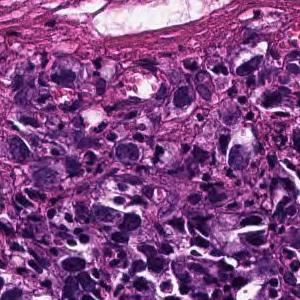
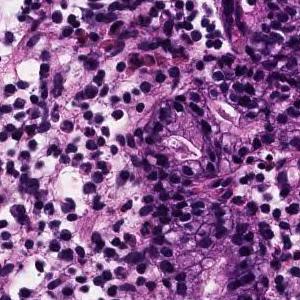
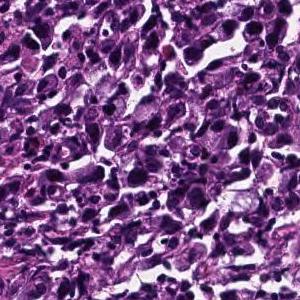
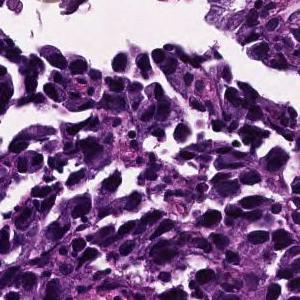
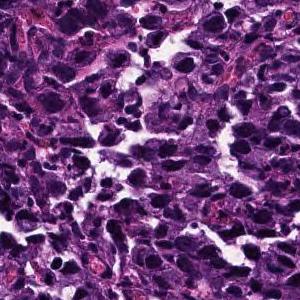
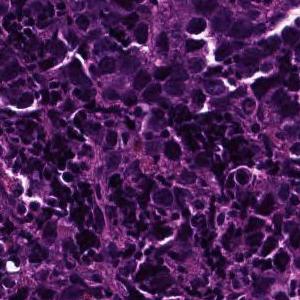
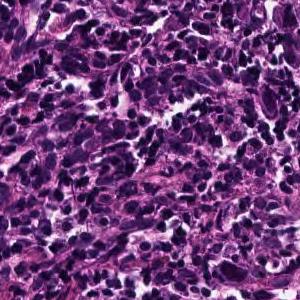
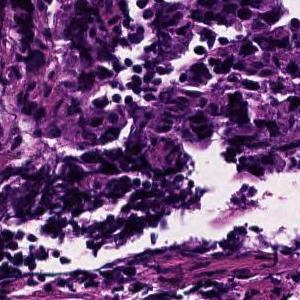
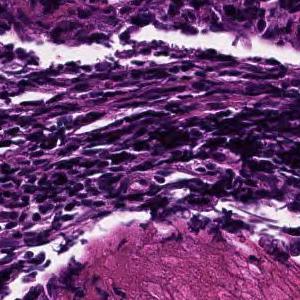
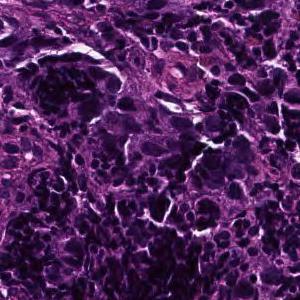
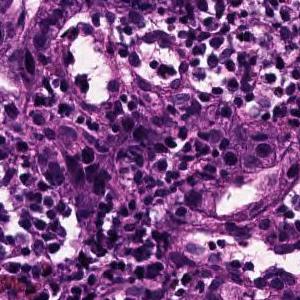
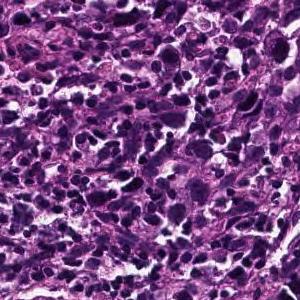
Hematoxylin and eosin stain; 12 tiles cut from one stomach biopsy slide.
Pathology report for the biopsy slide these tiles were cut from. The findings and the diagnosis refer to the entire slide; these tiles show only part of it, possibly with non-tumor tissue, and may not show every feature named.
The superficial epithelium shows a large sheet-like shape, and some tumor tissues infiltrate with a small cord-like structure. Poorly differentiated adenocarcinoma, solid type (poorly differentiated adenocarcinoma, solid type)
Subtype: Poorly differentiated adenocarcinoma, solid type, a category of the Japanese Classification of Gastric Carcinoma; in the WHO 2019 classification it is tubular adenocarcinoma, poorly differentiated.
